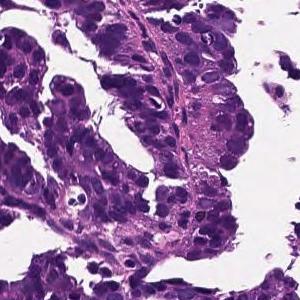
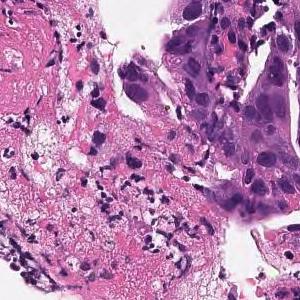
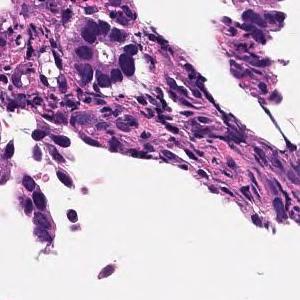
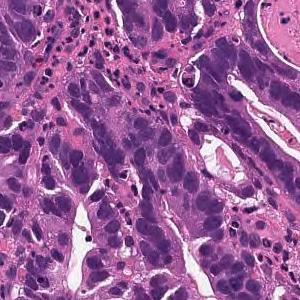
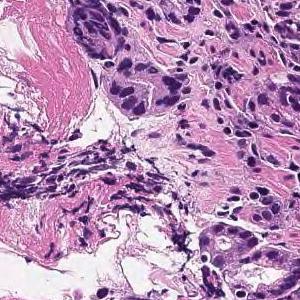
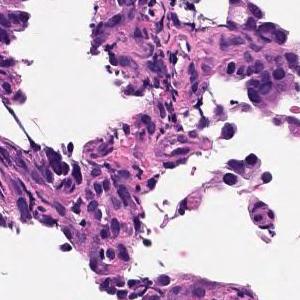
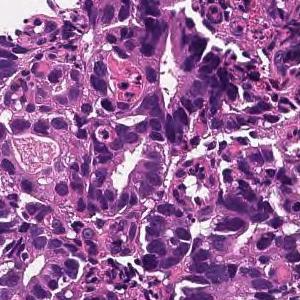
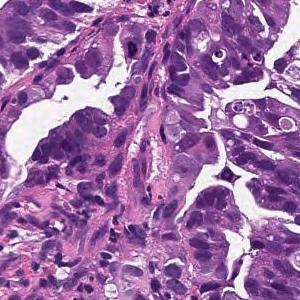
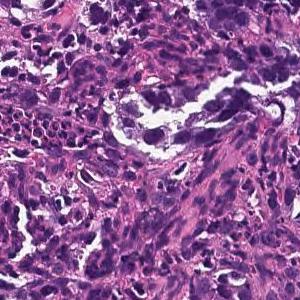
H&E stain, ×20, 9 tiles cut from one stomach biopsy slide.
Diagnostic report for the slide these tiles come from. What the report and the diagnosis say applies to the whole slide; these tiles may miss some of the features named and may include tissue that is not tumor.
Tumor cells are large, highly columnar, large club-shaped nuclei, and are associated with chromatin aggregation. Papillary adenocarcinoma.
